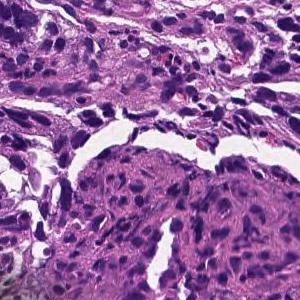
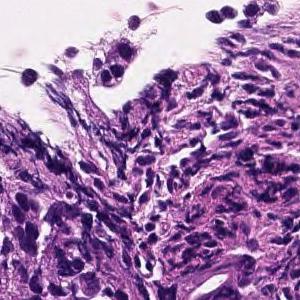
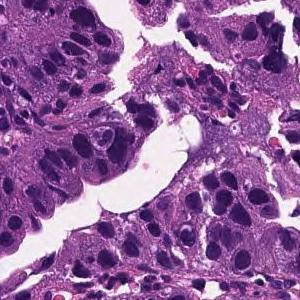
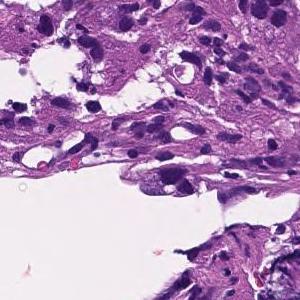
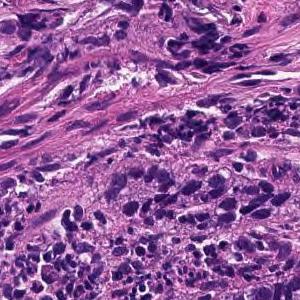
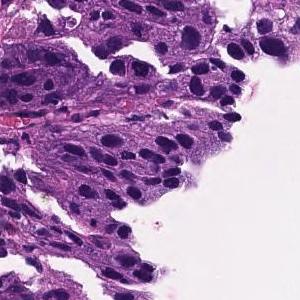
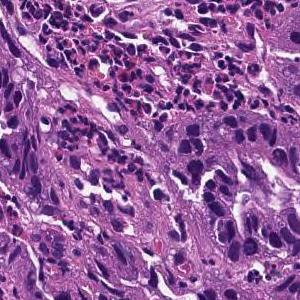
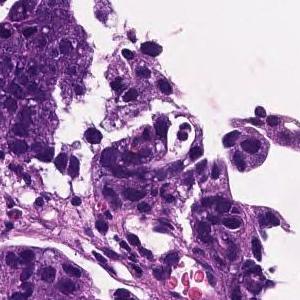
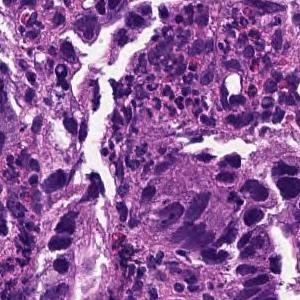
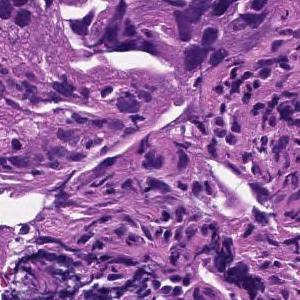
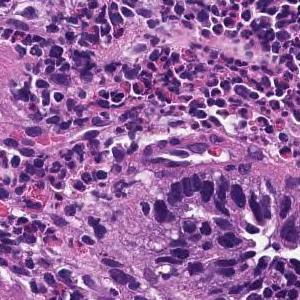
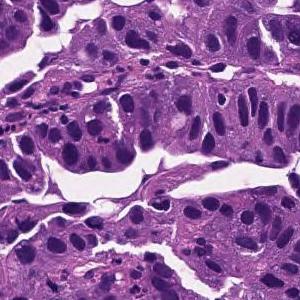
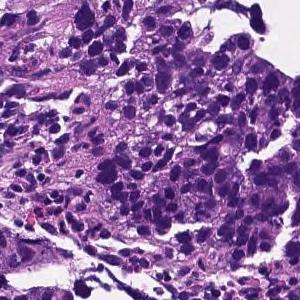
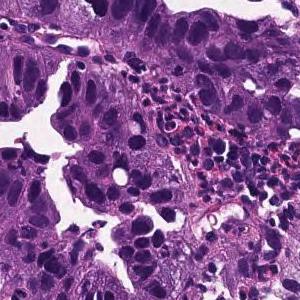
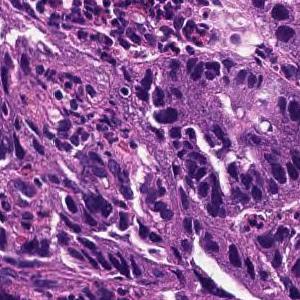
15 tiles cut from one stomach biopsy slide · 300×300 px each · H&E.
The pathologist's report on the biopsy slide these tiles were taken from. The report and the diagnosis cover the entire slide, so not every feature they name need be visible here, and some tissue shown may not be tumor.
Tumor tissue consisting of large papillary structures is found in the superficial epithelium. Papillary adenocarcinoma.
